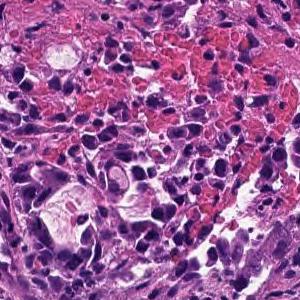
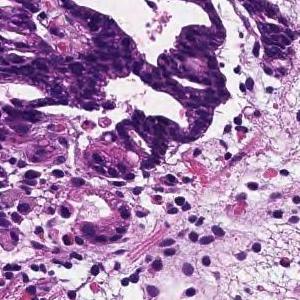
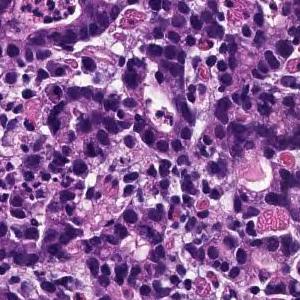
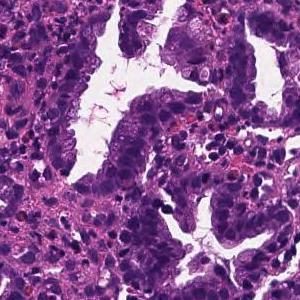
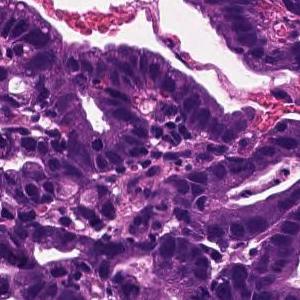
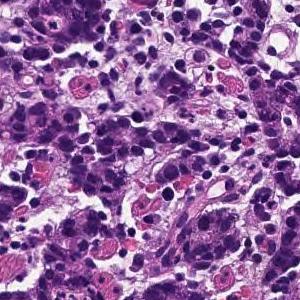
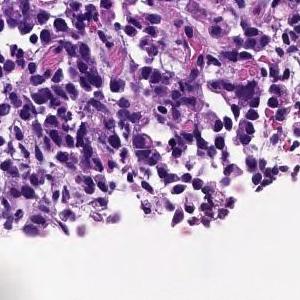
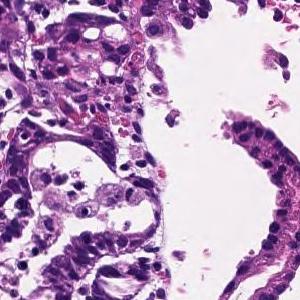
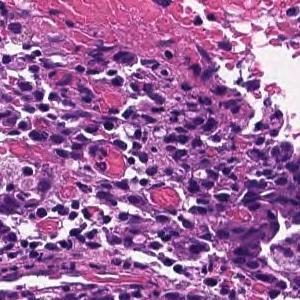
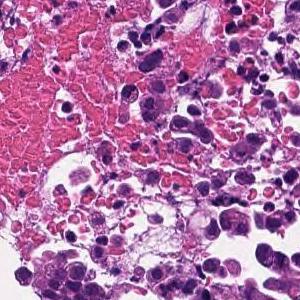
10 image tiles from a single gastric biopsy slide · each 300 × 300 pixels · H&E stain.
The pathologist's report on the biopsy slide these tiles were taken from. The report and the diagnosis cover the entire slide, so not every feature they name need be visible here, and some tissue shown may not be tumor.
In the superficial epithelium, tumor tissue that invades by forming medium-sized to small, irregular ducts is observed. moderately differentiated tubular adenocarcinoma.
